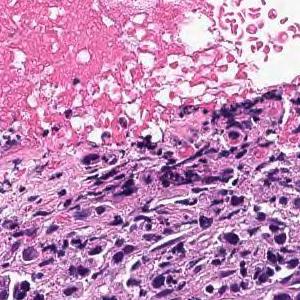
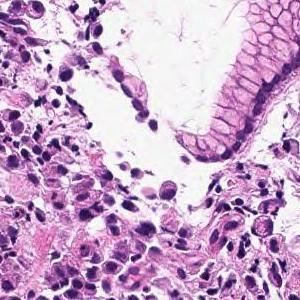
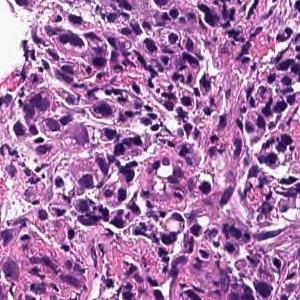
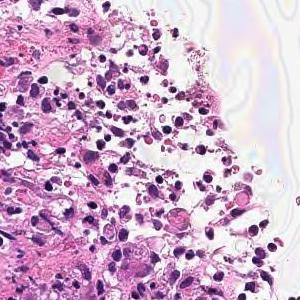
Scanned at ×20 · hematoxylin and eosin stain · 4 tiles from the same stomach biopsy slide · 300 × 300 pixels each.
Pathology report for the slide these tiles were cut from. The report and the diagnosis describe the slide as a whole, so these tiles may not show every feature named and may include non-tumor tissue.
Tumor tissue consisting of diffusely infiltrated large atypical epithelial cells or signet ring atypical cells is observed in the superficial epithelium. Poorly differentiated adenocarcinoma, solid-type
Classified as poorly differentiated adenocarcinoma, solid type. This name comes from the Japanese Classification of Gastric Carcinoma; the WHO 2019 classification calls it tubular adenocarcinoma, poorly differentiated.
